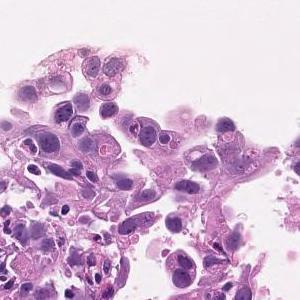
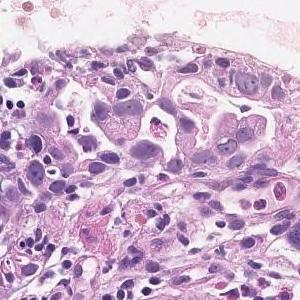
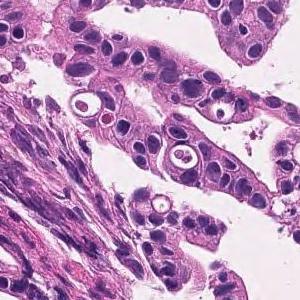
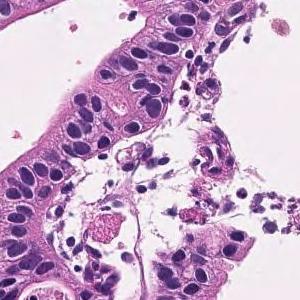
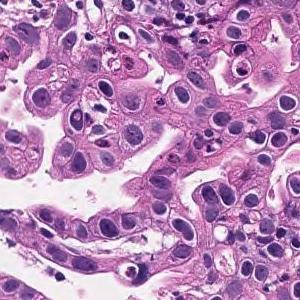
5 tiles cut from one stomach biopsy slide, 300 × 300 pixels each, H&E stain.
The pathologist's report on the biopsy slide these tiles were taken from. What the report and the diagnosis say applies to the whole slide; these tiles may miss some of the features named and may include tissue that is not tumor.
In the superficial epithelium, tumor tissue that invades by forming medium-sized to small, irregular ducts is observed. moderately differentiated tubular adenocarcinoma.
